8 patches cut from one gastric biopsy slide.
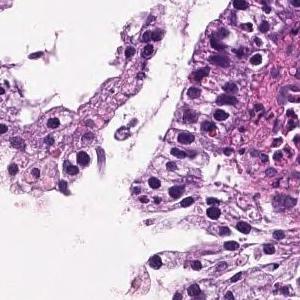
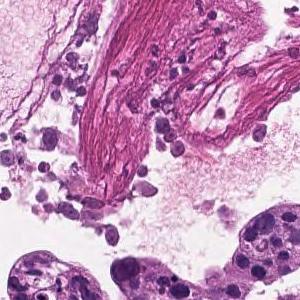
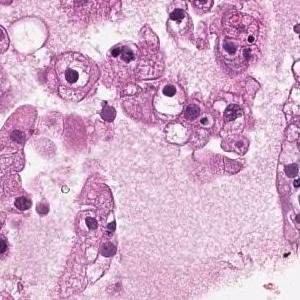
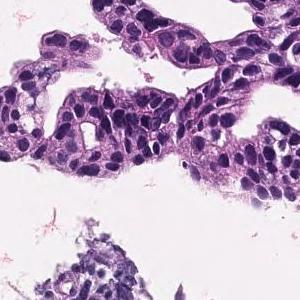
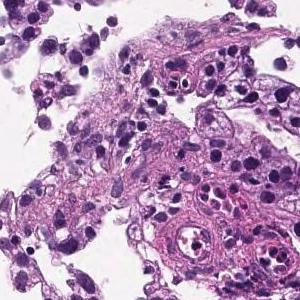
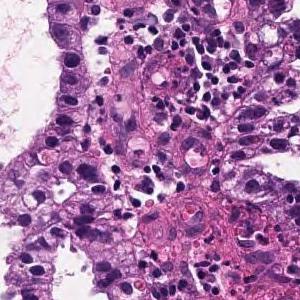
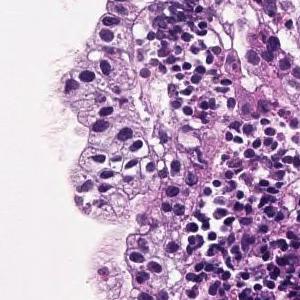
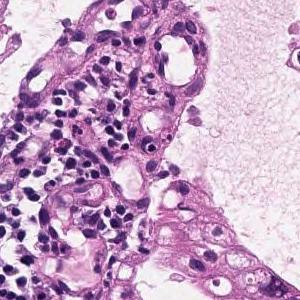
Pathology report for the slide these tiles were cut from. The report describes the whole slide, diagnosis included: not every finding it names need appear in these tiles, which may also show non-tumor tissue.
On the superficial epithelium, tumor tissue that infiltrates by forming medium-sized papillary or small irregular ducts is observed. Papillary adenocarcinoma
